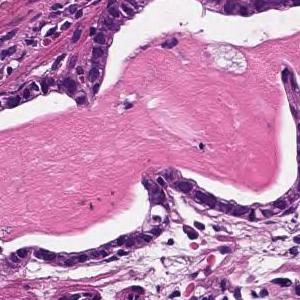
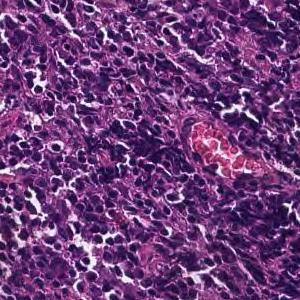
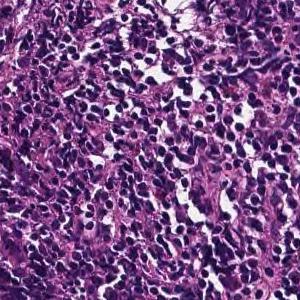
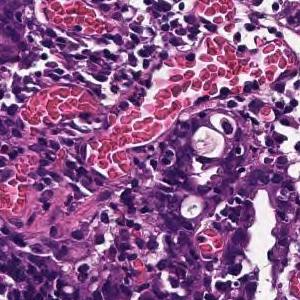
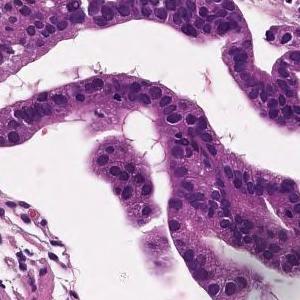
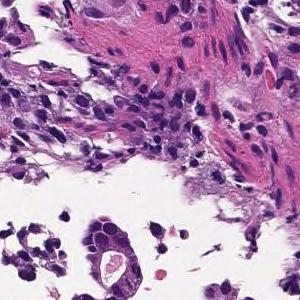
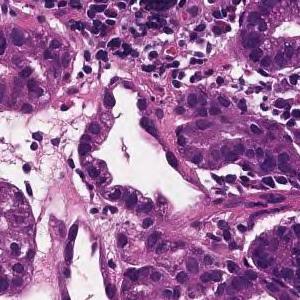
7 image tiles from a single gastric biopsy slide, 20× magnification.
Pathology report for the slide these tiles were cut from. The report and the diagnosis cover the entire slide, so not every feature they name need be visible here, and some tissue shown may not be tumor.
Tumor tissue consisting of medium-sized, cord-like or irregular glandular infiltration is observed in the superficial epithelium. Poorly differentiated adenocarcinoma, non-solid type or moderately differentiated tubular adenocarcinoma
Histological subtype: Moderately to poorly differentiated adenocarcinoma.
"Non-solid type" is a category of the Japanese Classification of Gastric Carcinoma.
